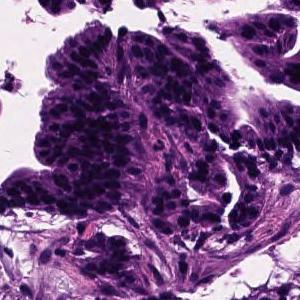
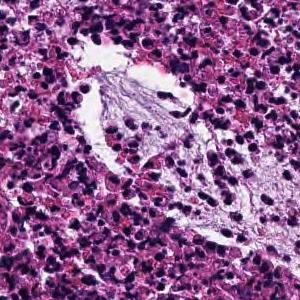
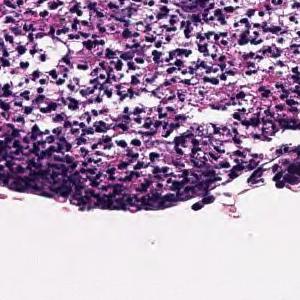
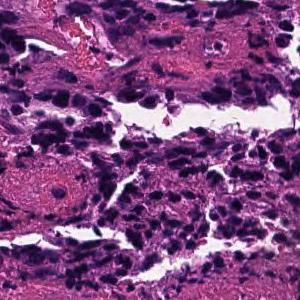
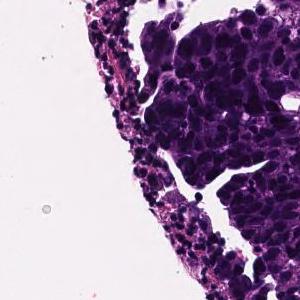
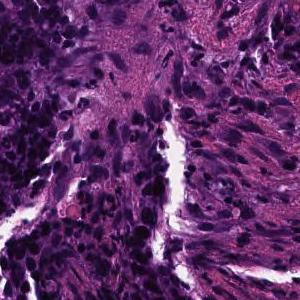
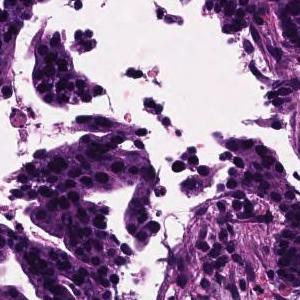
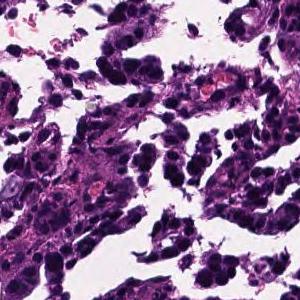
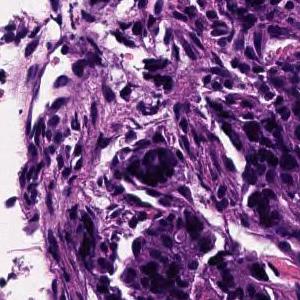
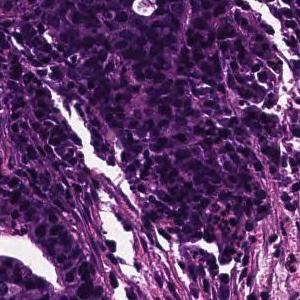
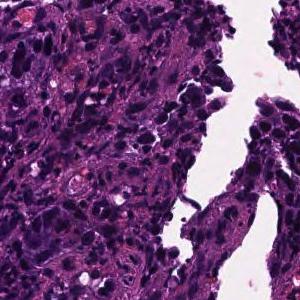
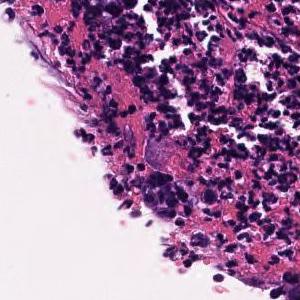
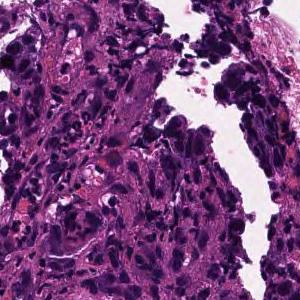
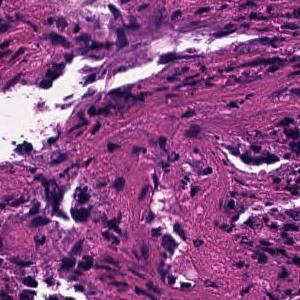
14 patches cut from one gastric biopsy slide, 300 × 300 pixels each, H&E stain, 20× magnification.
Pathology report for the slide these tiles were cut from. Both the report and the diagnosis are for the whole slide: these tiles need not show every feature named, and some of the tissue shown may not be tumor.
In the superficial epithelium, tumor tissue that invades by forming medium-sized to small, irregular ducts is observed. moderately differentiated tubular adenocarcinoma.
